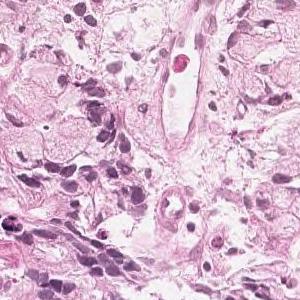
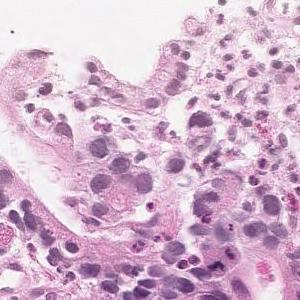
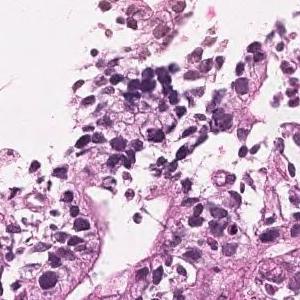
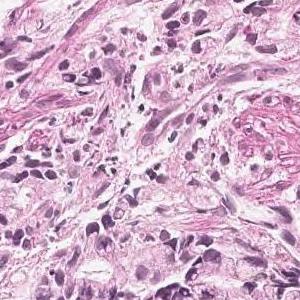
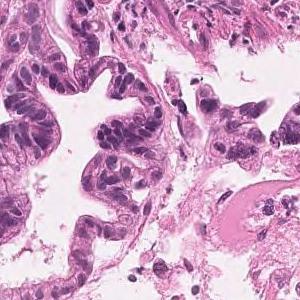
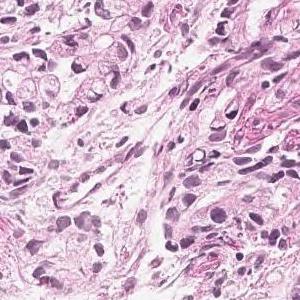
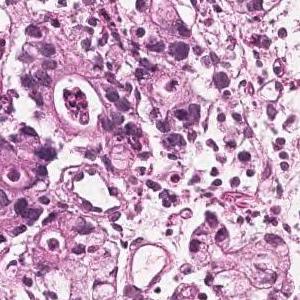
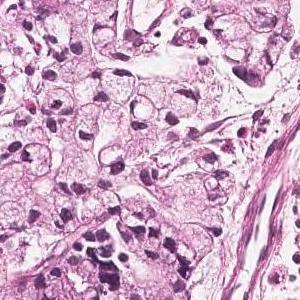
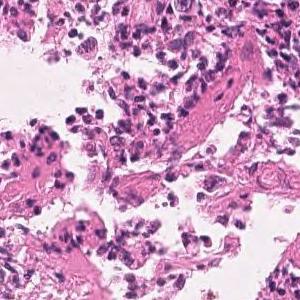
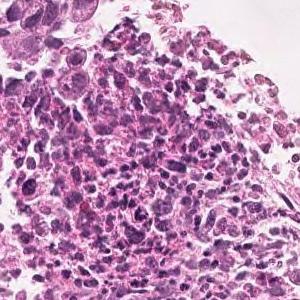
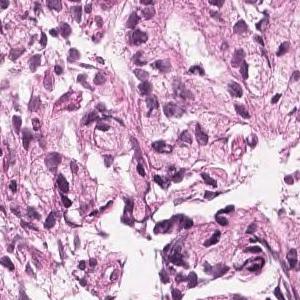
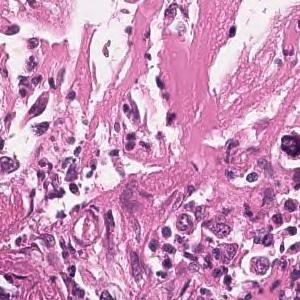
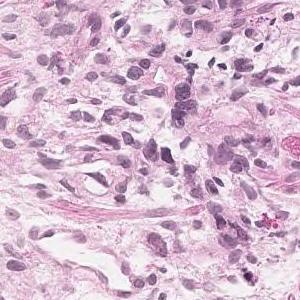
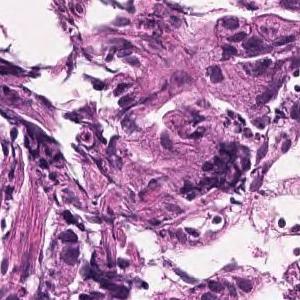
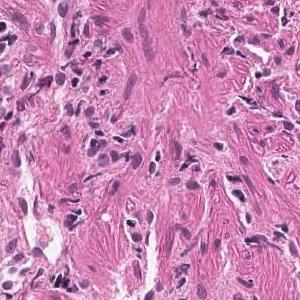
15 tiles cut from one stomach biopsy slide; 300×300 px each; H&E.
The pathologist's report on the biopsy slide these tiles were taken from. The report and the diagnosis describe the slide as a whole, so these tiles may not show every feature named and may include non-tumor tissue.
In the superficial epithelium, medium to small irregular gland ducts are formed, and in some cases, the ducts are fused to show solid alveolar lesions and infiltrating tumor tissue is observed. Moderately to poorly differentiated adenocarcinoma
